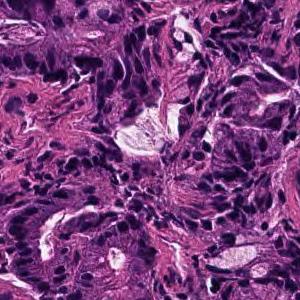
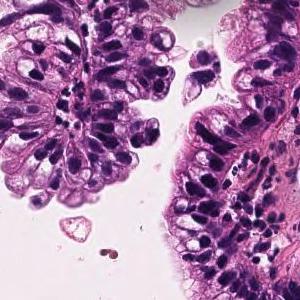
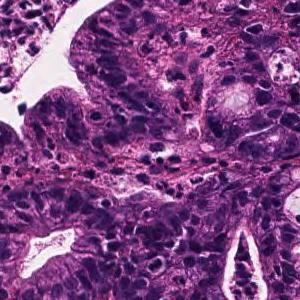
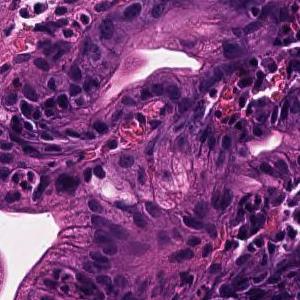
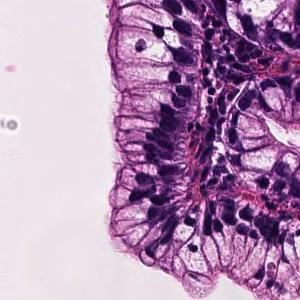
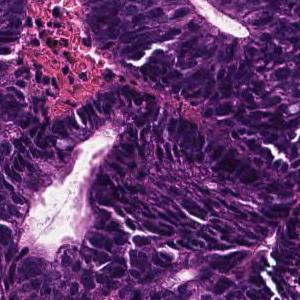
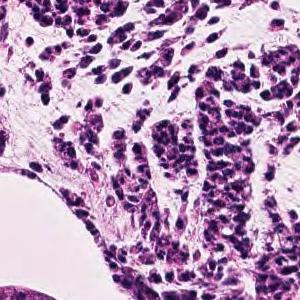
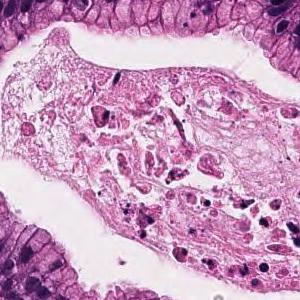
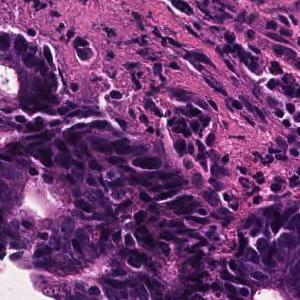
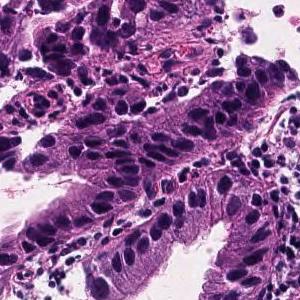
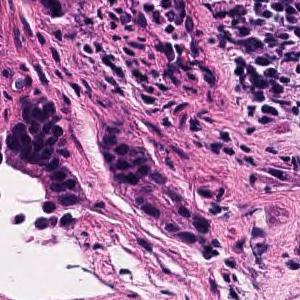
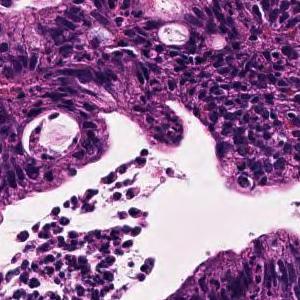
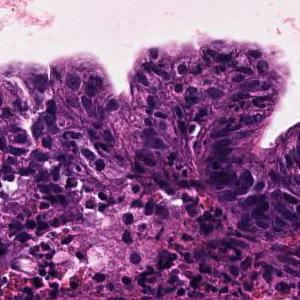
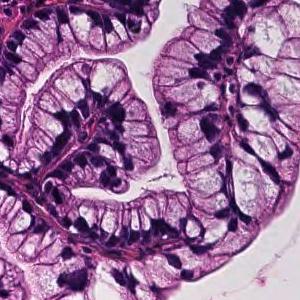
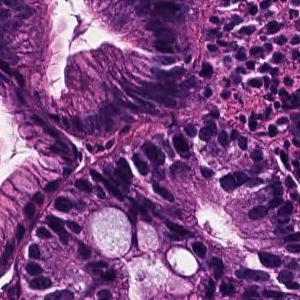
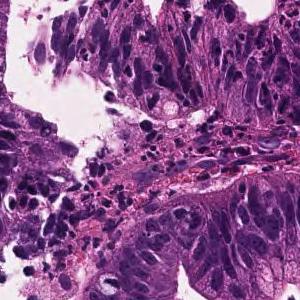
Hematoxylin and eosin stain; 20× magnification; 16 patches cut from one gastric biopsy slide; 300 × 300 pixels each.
The pathologist's report on the biopsy slide these tiles were taken from. The findings and the diagnosis refer to the entire slide; these tiles show only part of it, possibly with non-tumor tissue, and may not show every feature named.
Tumor cells are large, highly columnar, large club-shaped nuclei, and are associated with chromatin aggregation. Papillary adenocarcinoma.
